Hematoxylin and eosin stain; 8 tiles cut from one stomach biopsy slide.
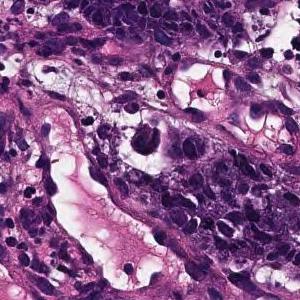
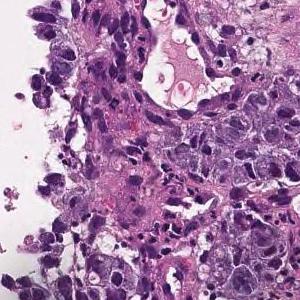
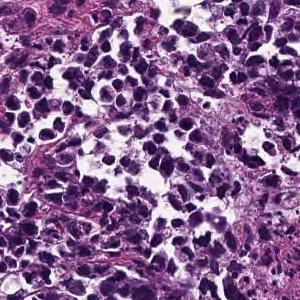
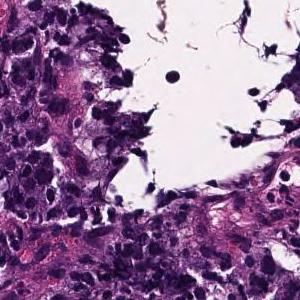
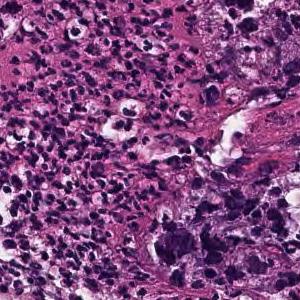
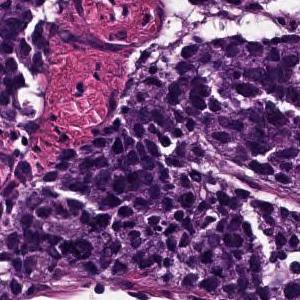
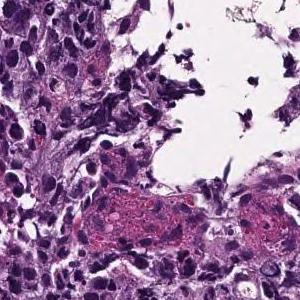
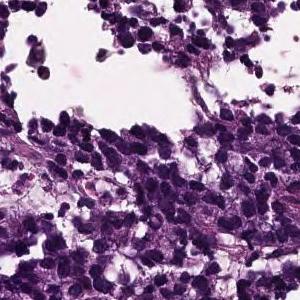
Pathology report for the slide these tiles were cut from. The findings and the diagnosis refer to the entire slide; these tiles show only part of it, possibly with non-tumor tissue, and may not show every feature named.
The superficial epithelium shows a large sheet-like shape, and some tumor tissue infiltrates with small irregular ducts. Poorly differentiated adenocarcinoma, solid-type
Histological subtype: Poorly differentiated adenocarcinoma, solid type, a category of the Japanese Classification of Gastric Carcinoma; in the WHO 2019 classification it is tubular adenocarcinoma, poorly differentiated.
